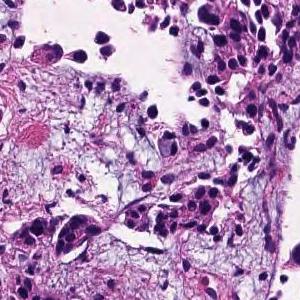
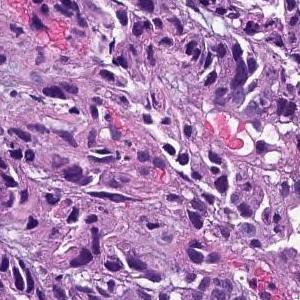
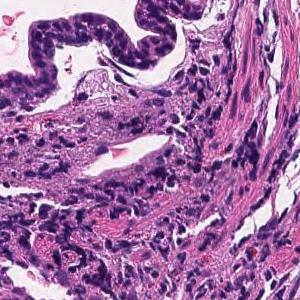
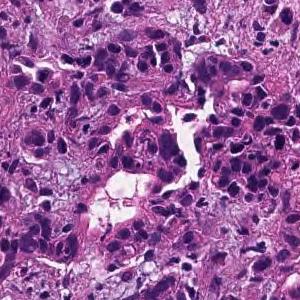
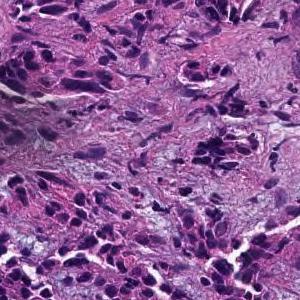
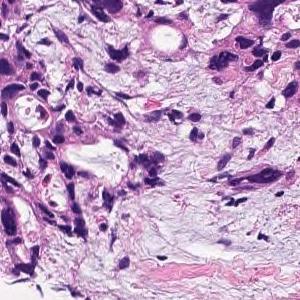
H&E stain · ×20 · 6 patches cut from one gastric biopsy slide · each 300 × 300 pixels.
Diagnostic report for the slide these tiles come from. The report and the diagnosis cover the entire slide, so not every feature they name need be visible here, and some tissue shown may not be tumor.
Tumor tissue consisting of cord-like or small, irregular glandular ducts fused and infiltrated is observed in the superficial epithelium. Poorly differentiated adenocarcinoma, non-solid type
The non-solid type named here is a Japanese Classification of Gastric Carcinoma category.
